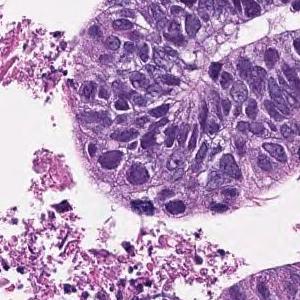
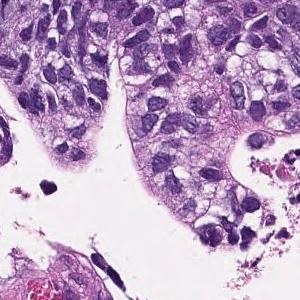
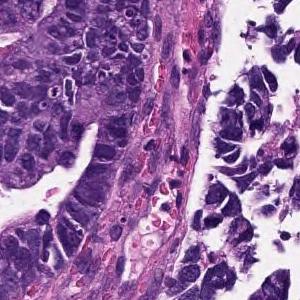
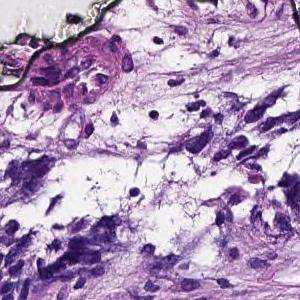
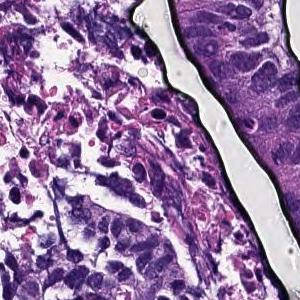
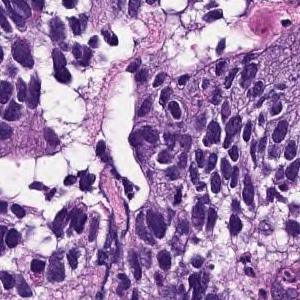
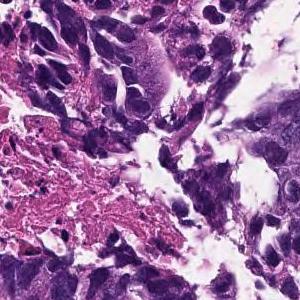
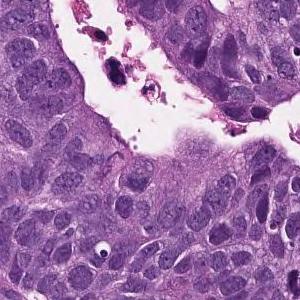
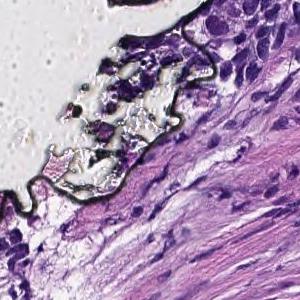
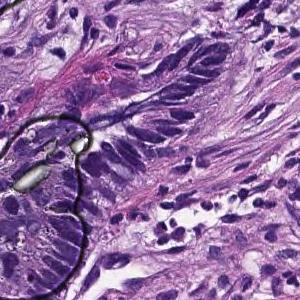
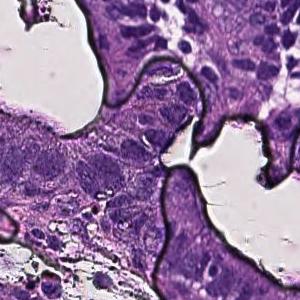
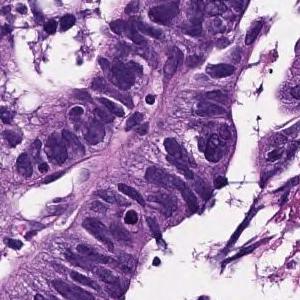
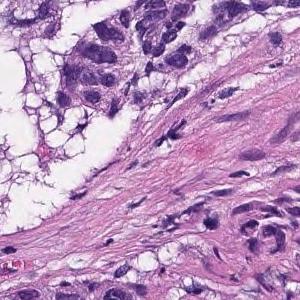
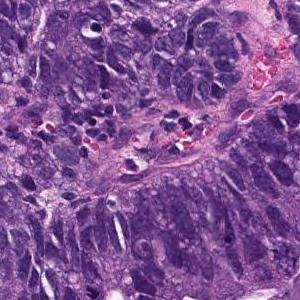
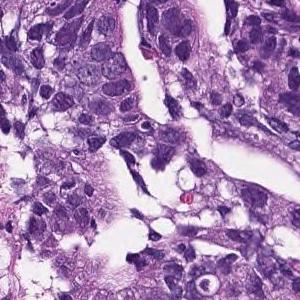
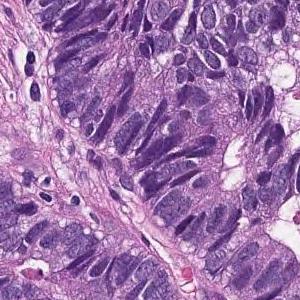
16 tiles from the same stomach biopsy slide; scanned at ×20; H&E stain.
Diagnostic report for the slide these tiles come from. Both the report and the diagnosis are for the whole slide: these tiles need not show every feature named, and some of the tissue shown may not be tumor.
In the superficial epithelium, tumor tissue that invades by forming medium-sized to small, irregular ducts is observed. moderately differentiated tubular adenocarcinoma.
